10 tiles from the same stomach biopsy slide, H&E.
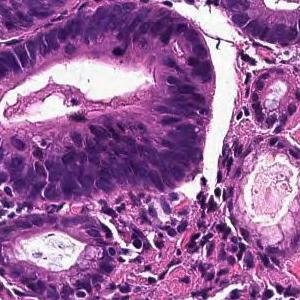
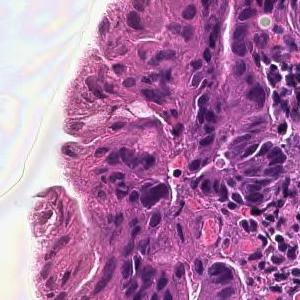
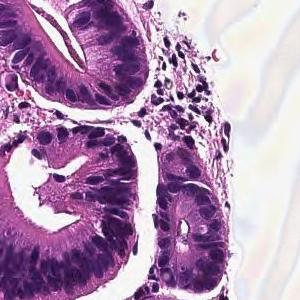
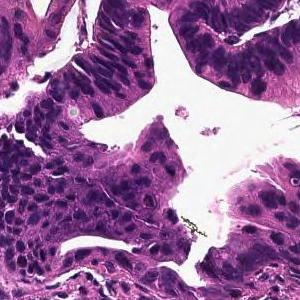
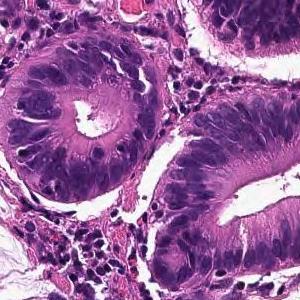
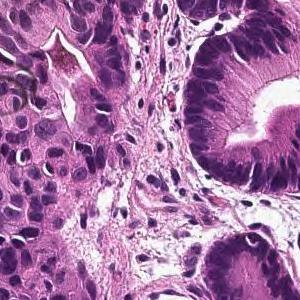
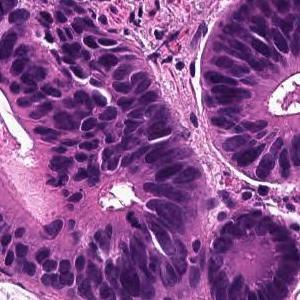
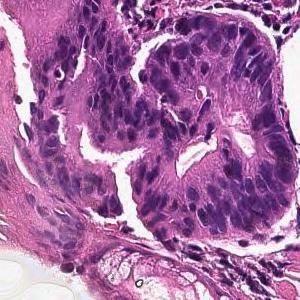
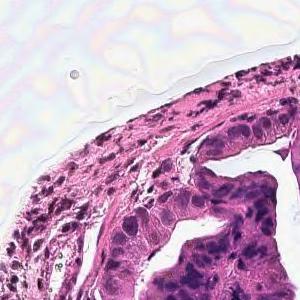
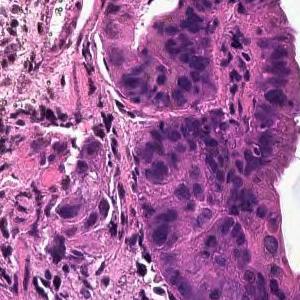
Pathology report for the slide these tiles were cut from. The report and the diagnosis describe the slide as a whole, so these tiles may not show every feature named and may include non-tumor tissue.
From the superficial epithelium to the muscularis mucosae, tumor tissue consisting of medium-sized and irregular glandular ducts infiltrating is observed. Well differentiated tubular adenocarcinoma
